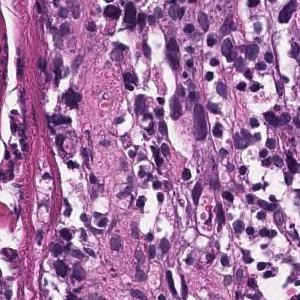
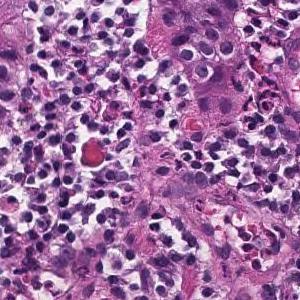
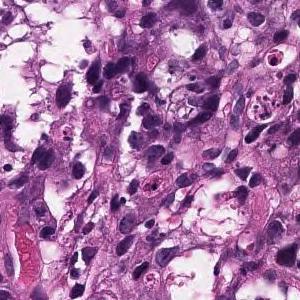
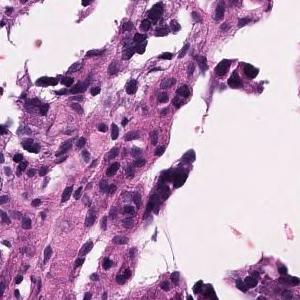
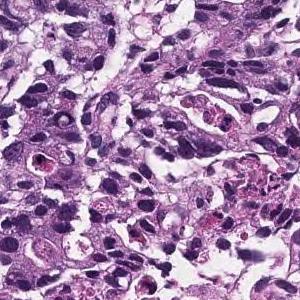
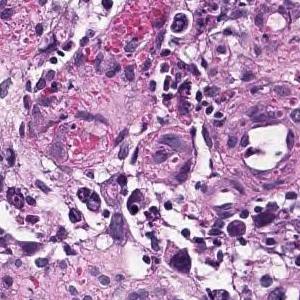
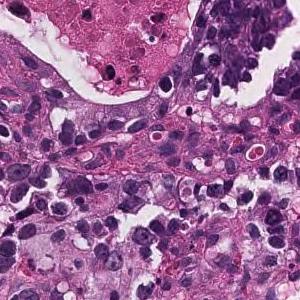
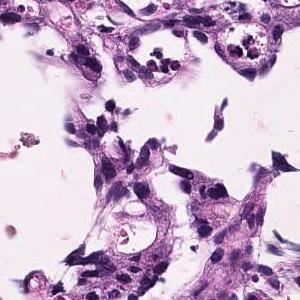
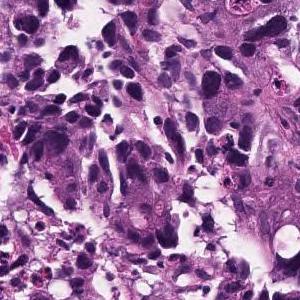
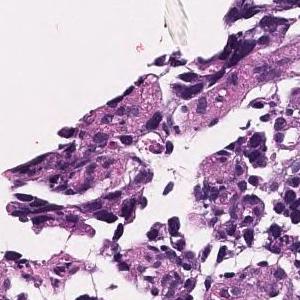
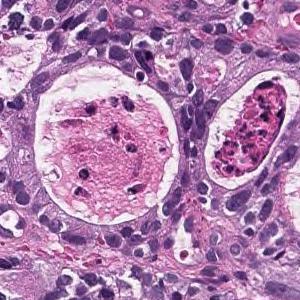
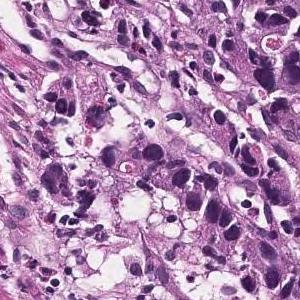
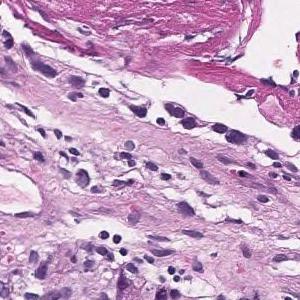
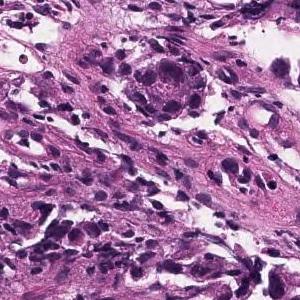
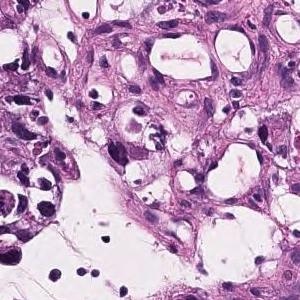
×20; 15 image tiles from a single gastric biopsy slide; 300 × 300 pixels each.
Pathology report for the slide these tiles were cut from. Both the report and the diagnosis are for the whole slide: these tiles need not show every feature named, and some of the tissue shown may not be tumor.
Tumor tissue consisting of medium-sized, cord-like or irregular glandular infiltration is observed in the superficial epithelium. Poorly differentiated adenocarcinoma, non-solid type or moderately differentiated tubular adenocarcinoma
The term "non-solid type" comes from the Japanese Classification of Gastric Carcinoma.
